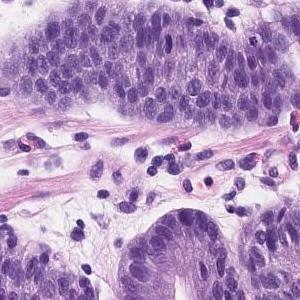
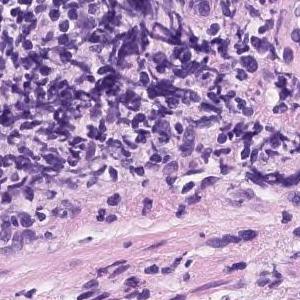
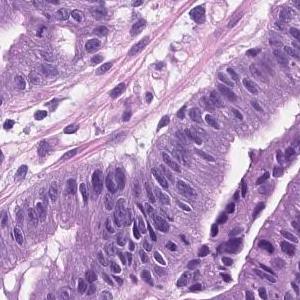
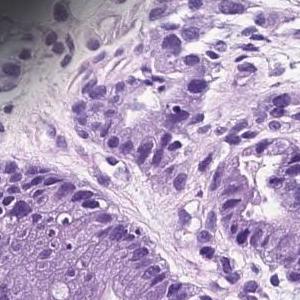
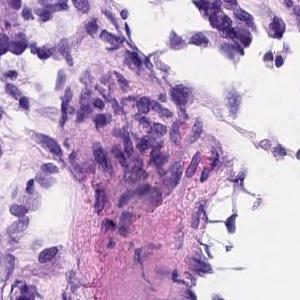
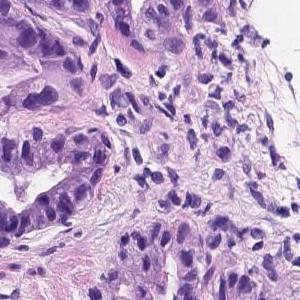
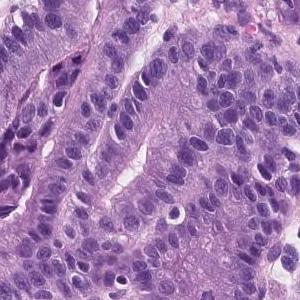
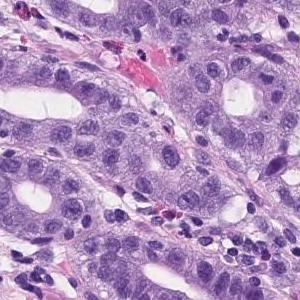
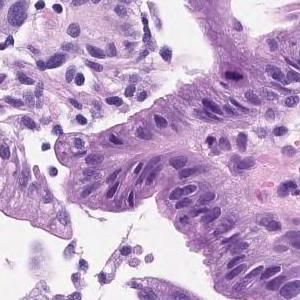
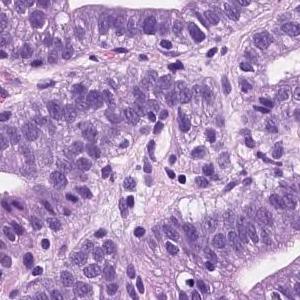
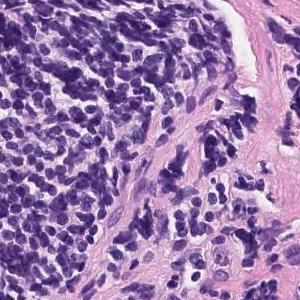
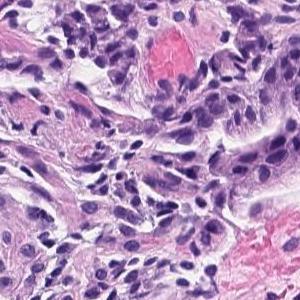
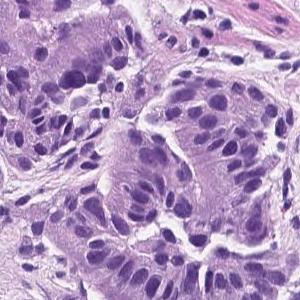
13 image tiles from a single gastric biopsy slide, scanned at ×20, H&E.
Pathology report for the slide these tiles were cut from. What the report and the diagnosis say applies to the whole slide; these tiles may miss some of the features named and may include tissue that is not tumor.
Tumor tissue consisting of medium-sized and irregular ducts is observed infiltrating in the superficial epithelium. Tumor cells are highly columnar, with nuclei aligned basolaterally and polarized. Well differentiated tubular adenocarcinoma.
